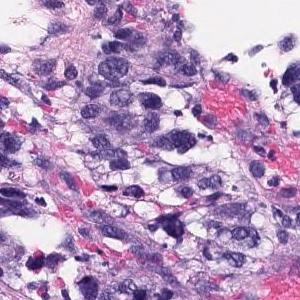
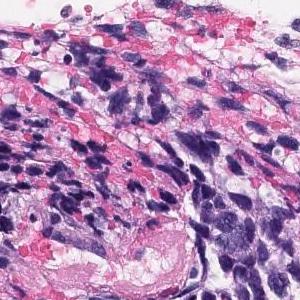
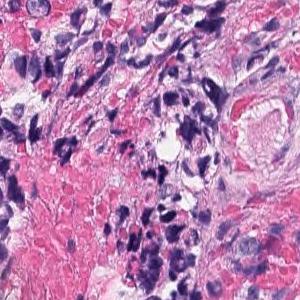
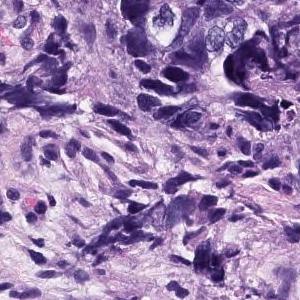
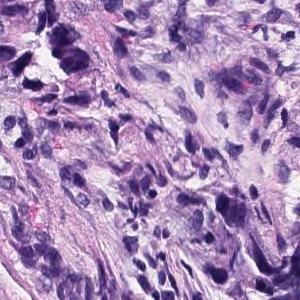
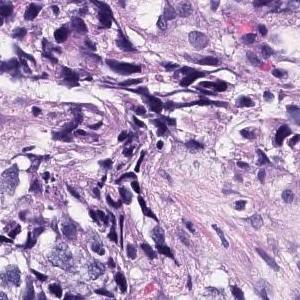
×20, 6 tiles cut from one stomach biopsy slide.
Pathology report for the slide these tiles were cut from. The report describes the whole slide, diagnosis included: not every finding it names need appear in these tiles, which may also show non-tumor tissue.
The superficial epithelium shows small cord-like infiltrating tumor tissue. Some part of neoplastic cells are signet ring cell type which show single invasion manner. Poorly differentiated adenocarcinoma, non-solid type.
The term "non-solid type" comes from the Japanese Classification of Gastric Carcinoma.
